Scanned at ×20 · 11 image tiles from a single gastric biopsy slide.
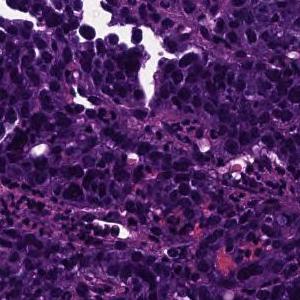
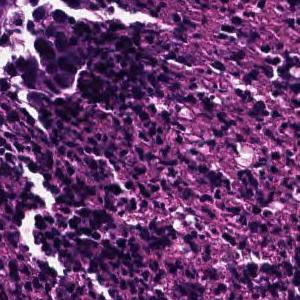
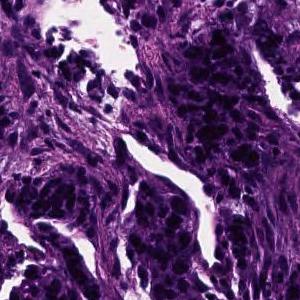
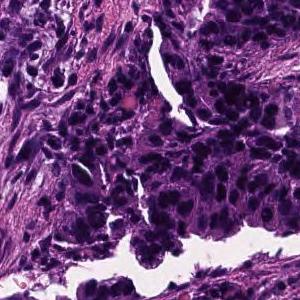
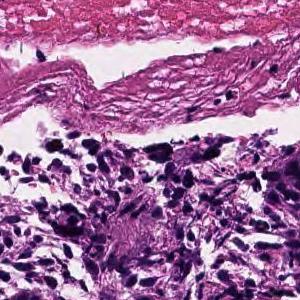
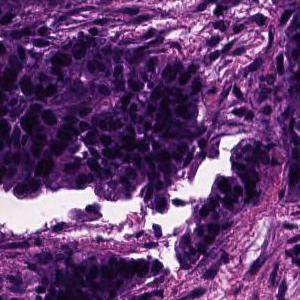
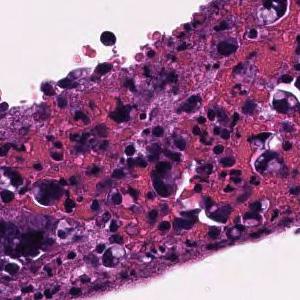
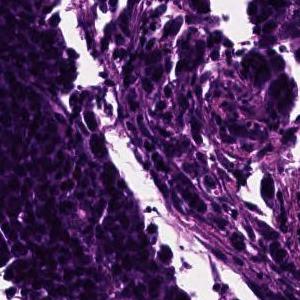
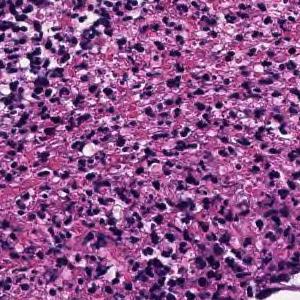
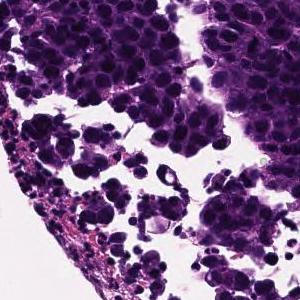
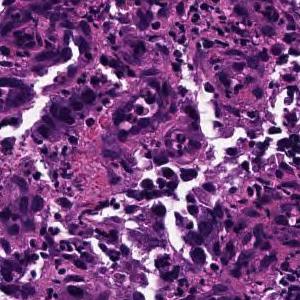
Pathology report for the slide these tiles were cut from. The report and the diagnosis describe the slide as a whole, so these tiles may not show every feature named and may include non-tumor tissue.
In the superficial epithelium, tumor tissue that invades by forming medium-sized to small, irregular ducts is observed. moderately differentiated tubular adenocarcinoma.
